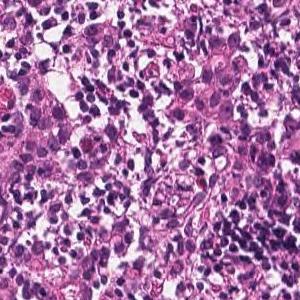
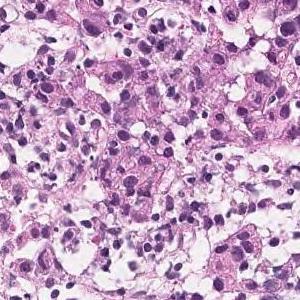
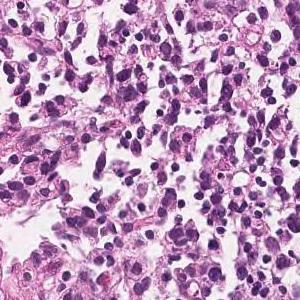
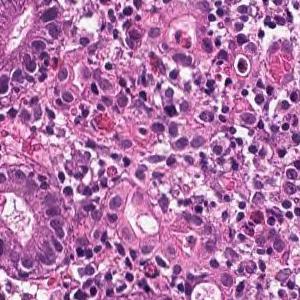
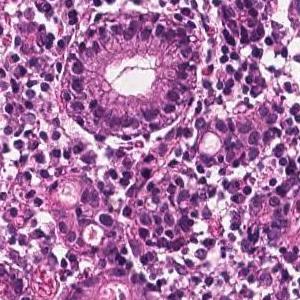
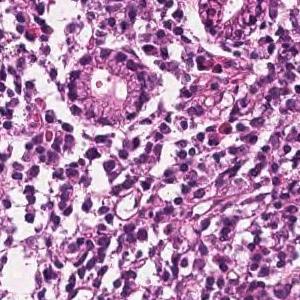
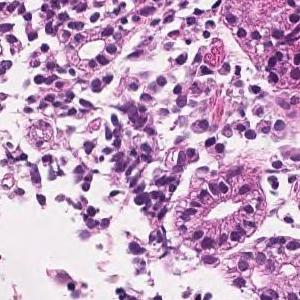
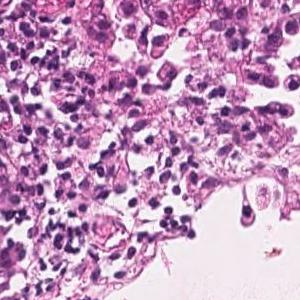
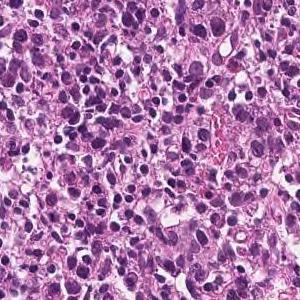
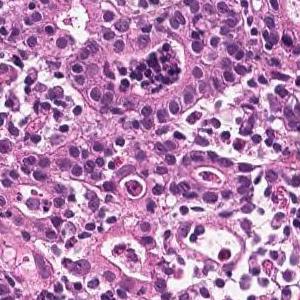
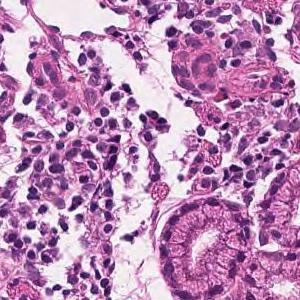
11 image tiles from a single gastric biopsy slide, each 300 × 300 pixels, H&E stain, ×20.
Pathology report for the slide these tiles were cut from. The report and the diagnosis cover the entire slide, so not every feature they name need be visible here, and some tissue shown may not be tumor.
Tumor tissue consisting of cord-like or small, irregular glandular ducts fused and infiltrated is observed in the superficial epithelium. Poorly differentiated adenocarcinoma, non-solid type
The term "non-solid type" comes from the Japanese Classification of Gastric Carcinoma.
